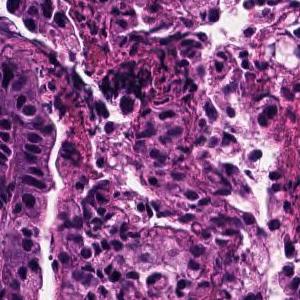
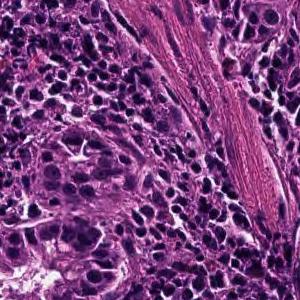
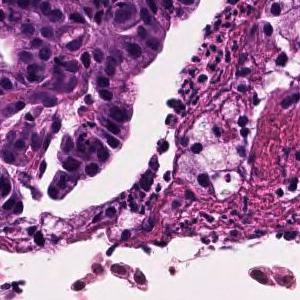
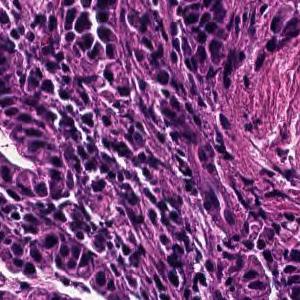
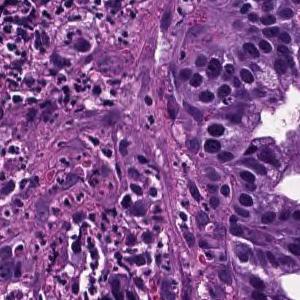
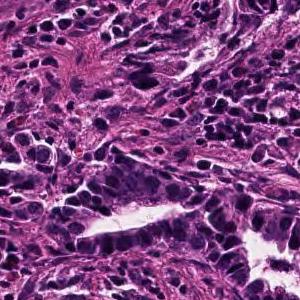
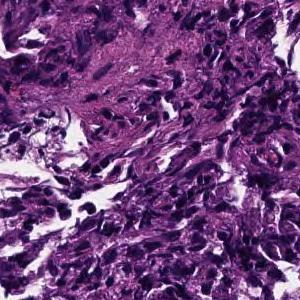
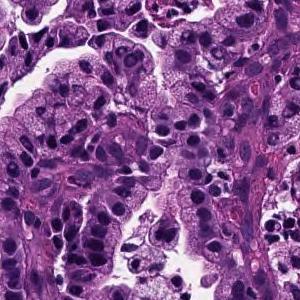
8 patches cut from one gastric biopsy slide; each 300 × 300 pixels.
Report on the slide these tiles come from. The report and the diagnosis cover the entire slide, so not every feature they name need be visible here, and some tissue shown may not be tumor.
Tumor cells are large, highly columnar, large club-shaped nuclei, and are associated with chromatin aggregation. Papillary adenocarcinoma.
